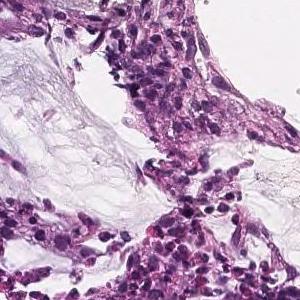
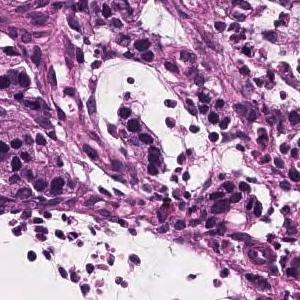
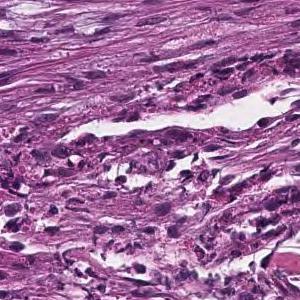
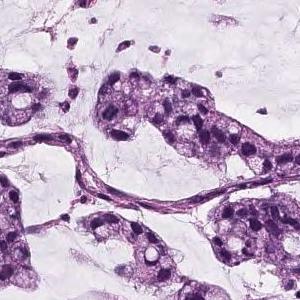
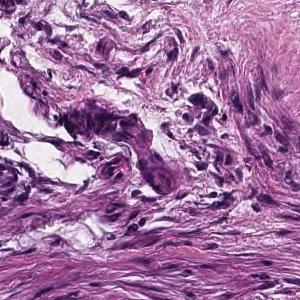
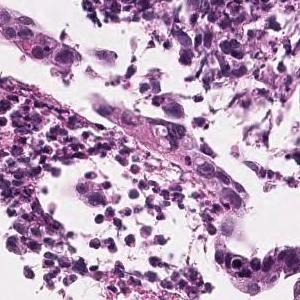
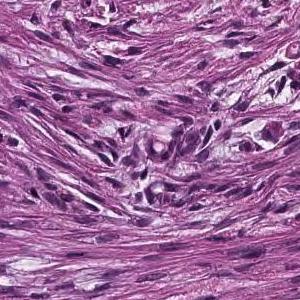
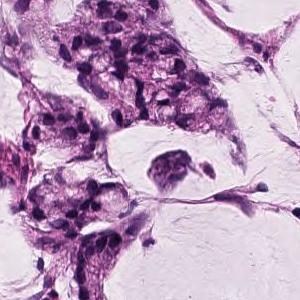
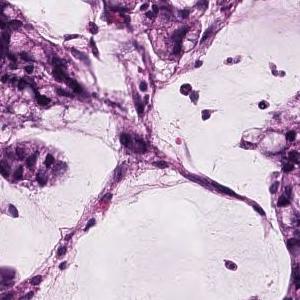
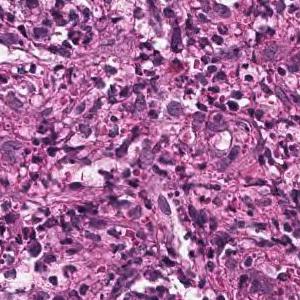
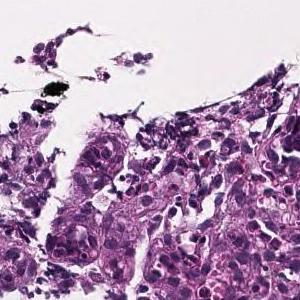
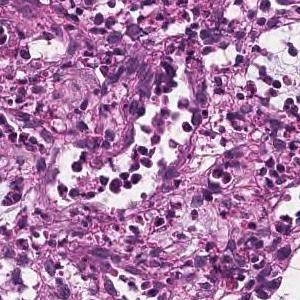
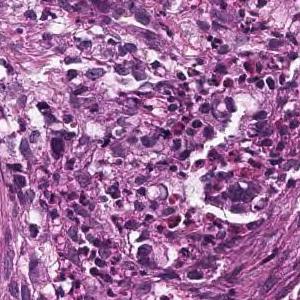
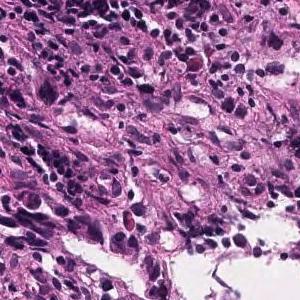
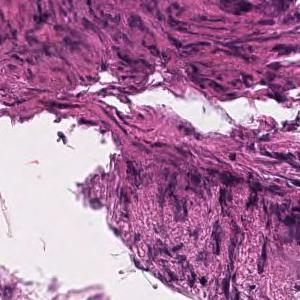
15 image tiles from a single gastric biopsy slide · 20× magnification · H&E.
Pathology report for the biopsy slide these tiles were cut from. The report and the diagnosis cover the entire slide, so not every feature they name need be visible here, and some tissue shown may not be tumor.
Atypical epithelial cells form obscure ductal structures or small solid follicles, and tumor tissue that proliferates invasively with proliferation of inflammatory granulation tissue is observed. Mucinous adenocarcinoma .
